12 image tiles from a single gastric biopsy slide, H&E stain.
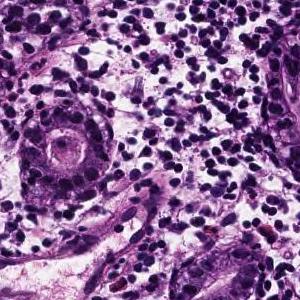
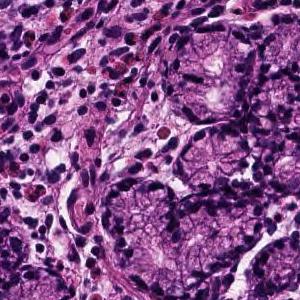
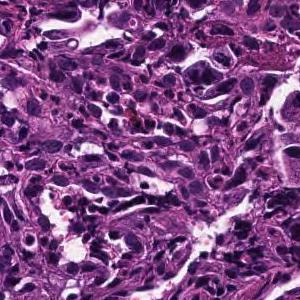
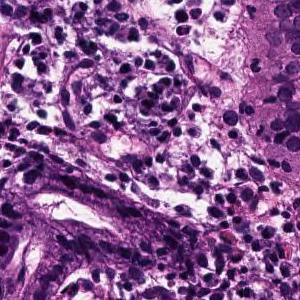
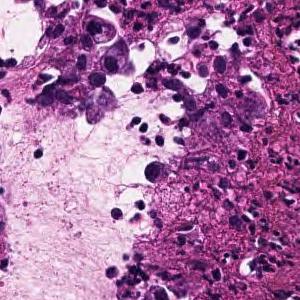
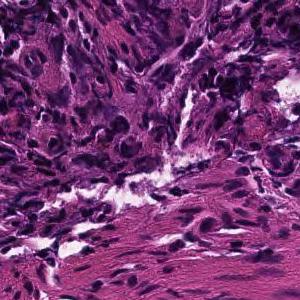
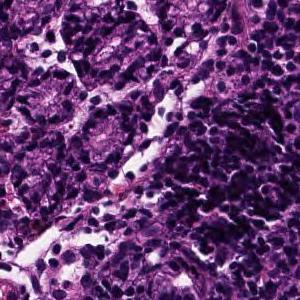
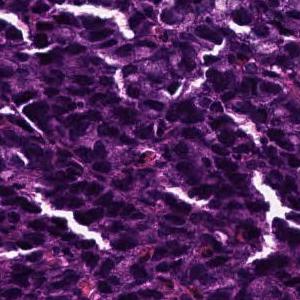
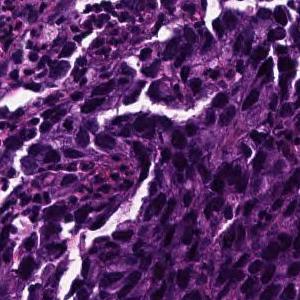
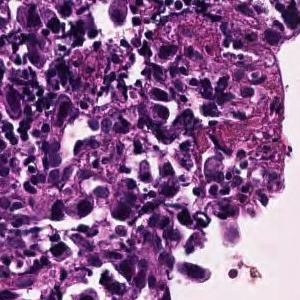
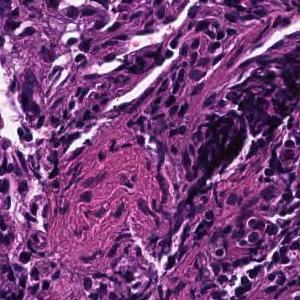
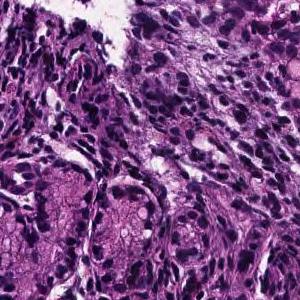
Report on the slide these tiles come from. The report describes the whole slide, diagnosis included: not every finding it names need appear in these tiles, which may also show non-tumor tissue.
The superficial epithelium shows a large sheet-like shape, and some tumor tissues infiltrate with a small cord-like structure. Poorly differentiated adenocarcinoma, solid type (poorly differentiated adenocarcinoma, solid type)
Subtype: Poorly differentiated adenocarcinoma, solid type (Japanese Classification of Gastric Carcinoma). The WHO 2019 equivalent is tubular adenocarcinoma, poorly differentiated.
